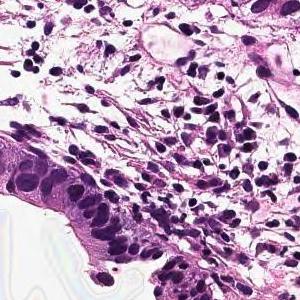
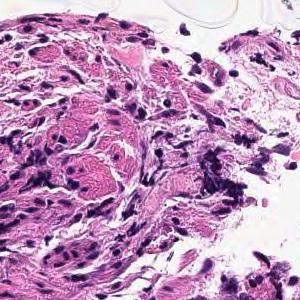
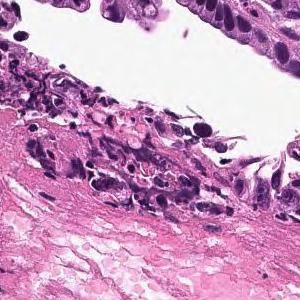
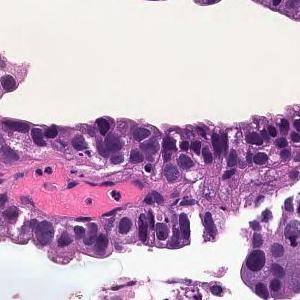
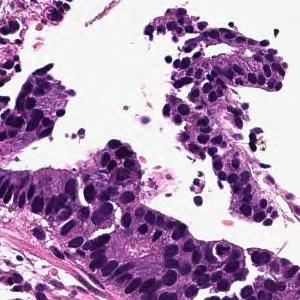
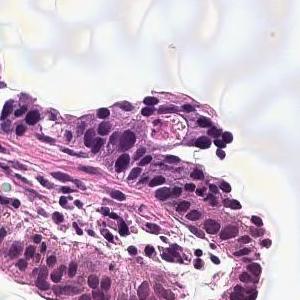
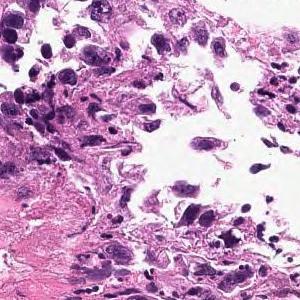
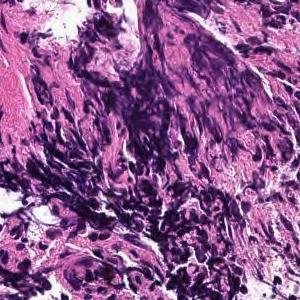
8 patches cut from one gastric biopsy slide, H&E stain, 20× magnification.
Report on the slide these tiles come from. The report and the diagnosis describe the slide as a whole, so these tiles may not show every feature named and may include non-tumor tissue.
On the superficial epithelium, tumor tissue that infiltrates by forming medium-sized papillary or small irregular ducts is observed. Papillary adenocarcinoma
